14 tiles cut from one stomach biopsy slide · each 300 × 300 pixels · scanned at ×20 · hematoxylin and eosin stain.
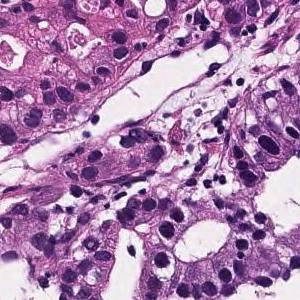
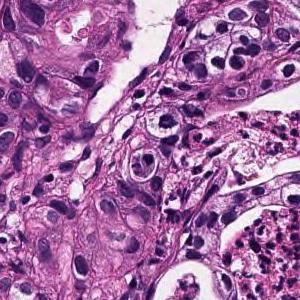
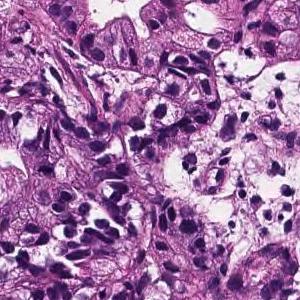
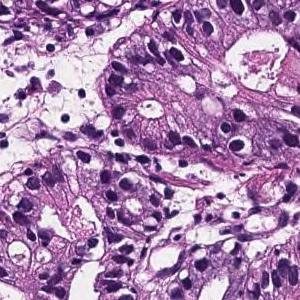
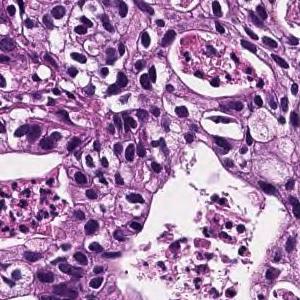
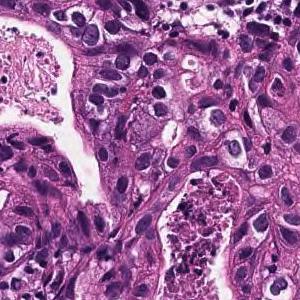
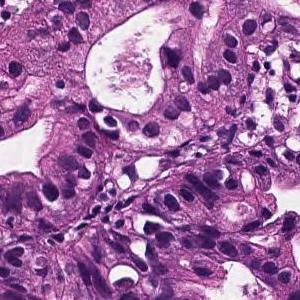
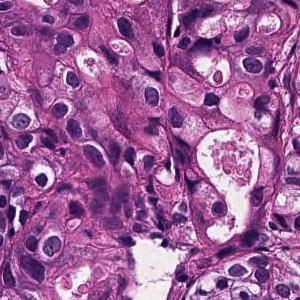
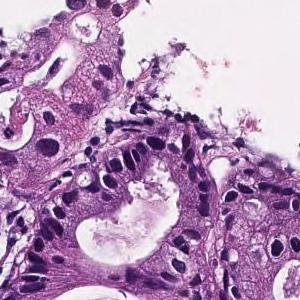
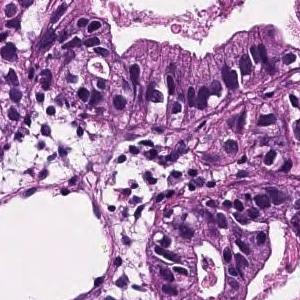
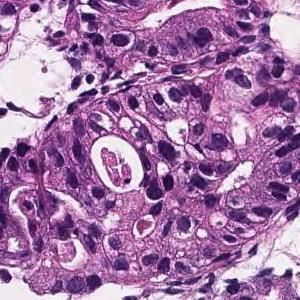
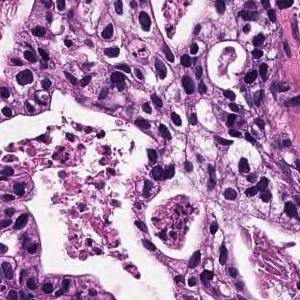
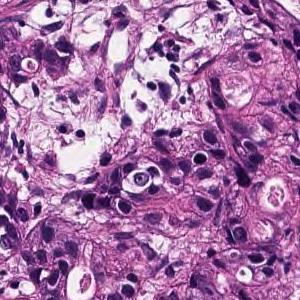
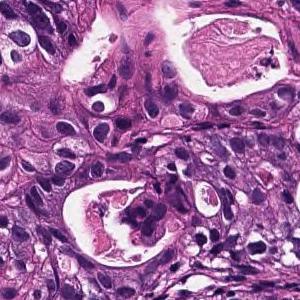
Pathology report for the biopsy slide these tiles were cut from. The report and the diagnosis describe the slide as a whole, so these tiles may not show every feature named and may include non-tumor tissue.
From the superficial epithelium to the muscularis mucosae, tumor tissue infiltrating by forming medium-sized irregular gland ducts is observed. Large tumor cells exhibit large nucleus and hyperchromatism. Well differentiated tubular adenocarcinoma
